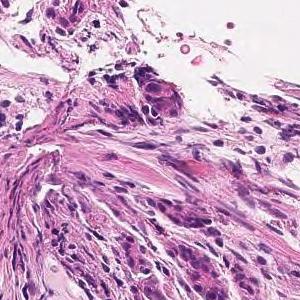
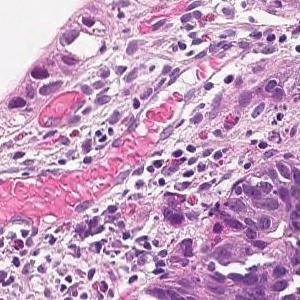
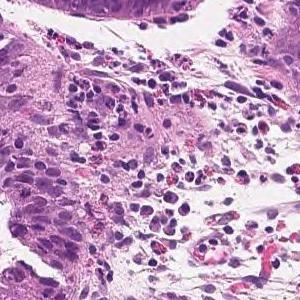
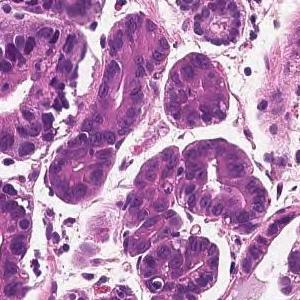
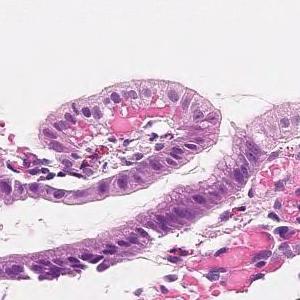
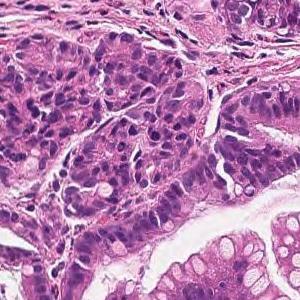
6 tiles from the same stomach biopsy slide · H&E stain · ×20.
The pathologist's report on the biopsy slide these tiles were taken from. Both the report and the diagnosis are for the whole slide: these tiles need not show every feature named, and some of the tissue shown may not be tumor.
From the superficial epithelium to the muscularis mucosae, tumor tissue consisting of medium-sized and irregular glandular ducts infiltrating is observed. Well differentiated tubular adenocarcinoma
